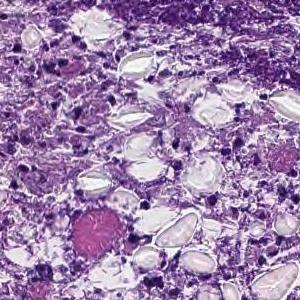
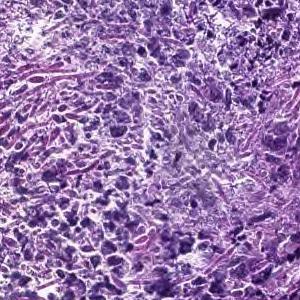
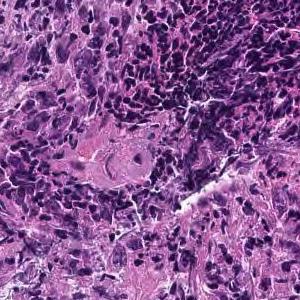
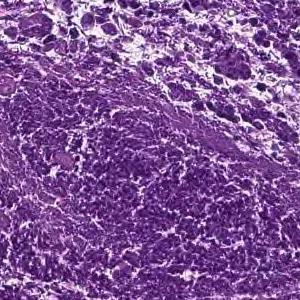
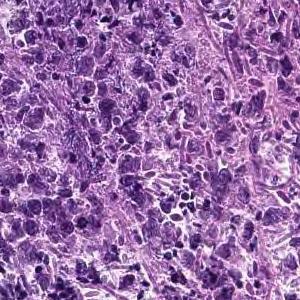
5 tiles from the same stomach biopsy slide, H&E stain.
Report on the slide these tiles come from. The report describes the whole slide, diagnosis included: not every finding it names need appear in these tiles, which may also show non-tumor tissue.
Cancers with polygonal nuclei do not show glandular formation and are densely, in part, cord-like and proliferate. Poorly differentiated adenocarcinoma
Tumor subtype: poorly differentiated adenocarcinoma, non-solid type.
The non-solid type named here is a Japanese Classification of Gastric Carcinoma category.
